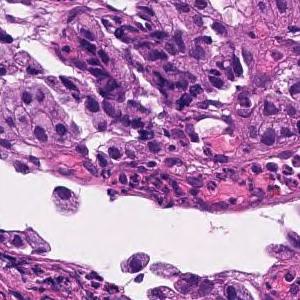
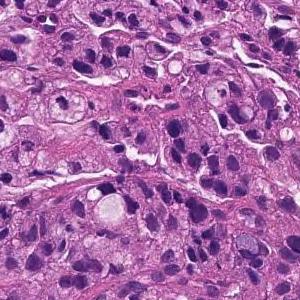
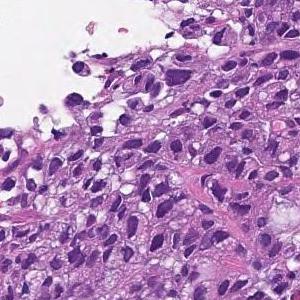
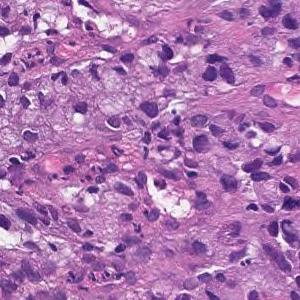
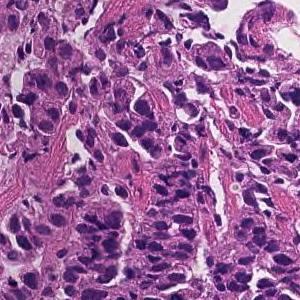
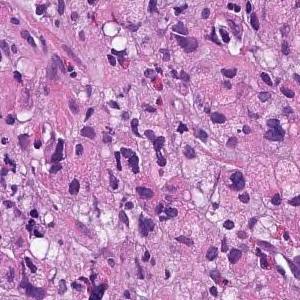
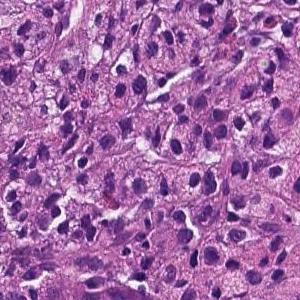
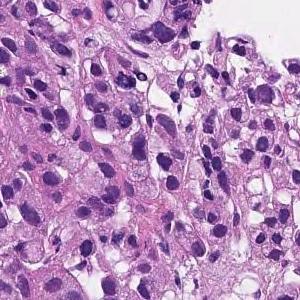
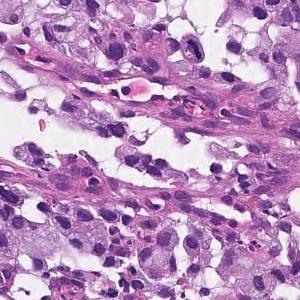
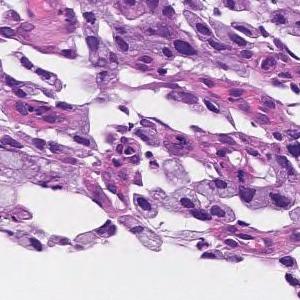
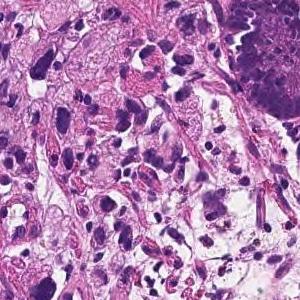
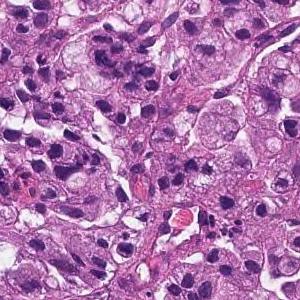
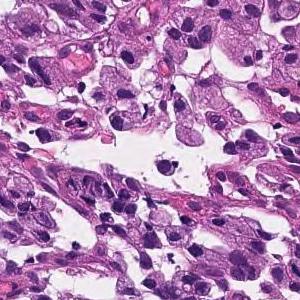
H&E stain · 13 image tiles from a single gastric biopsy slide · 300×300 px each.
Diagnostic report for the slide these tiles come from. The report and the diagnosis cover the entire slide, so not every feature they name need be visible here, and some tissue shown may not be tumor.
In the lamina propria, a tumor tissue consisting of signet ring cell type atypical epithelial cells infiltrating is observed. Signet ring cell carcinoma.
